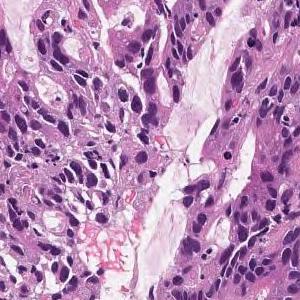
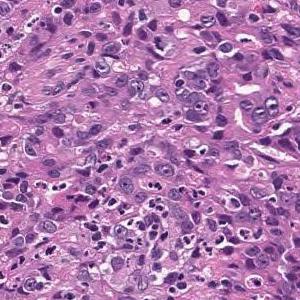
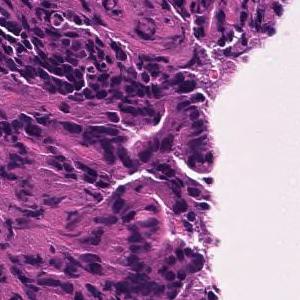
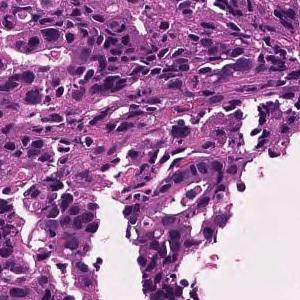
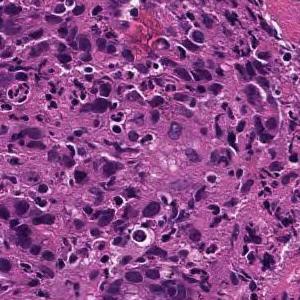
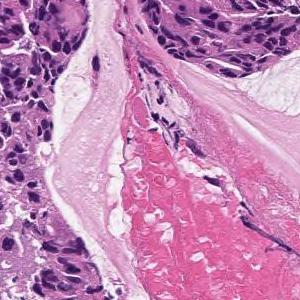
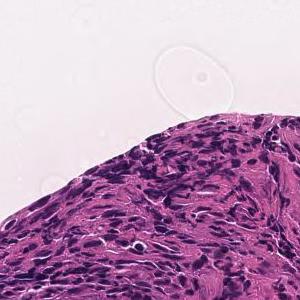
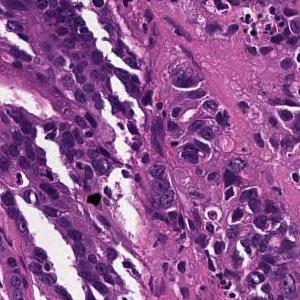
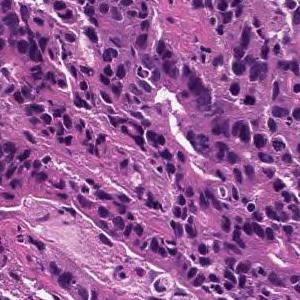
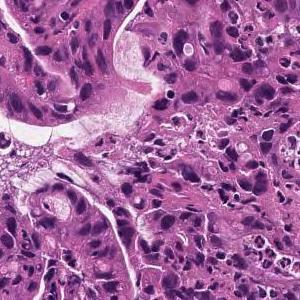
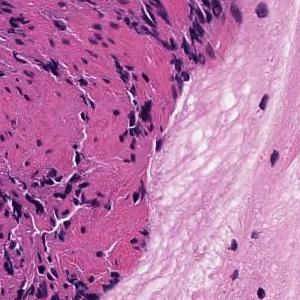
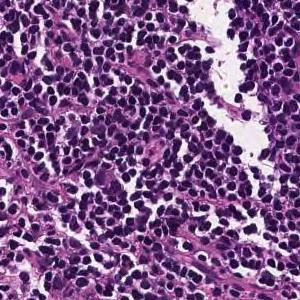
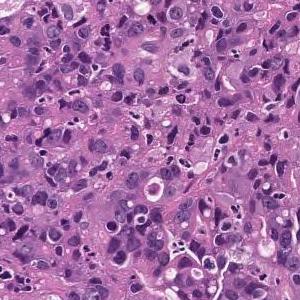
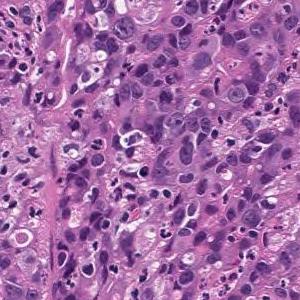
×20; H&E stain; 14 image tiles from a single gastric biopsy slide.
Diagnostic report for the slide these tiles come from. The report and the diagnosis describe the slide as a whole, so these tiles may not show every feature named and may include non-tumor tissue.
In the superficial epithelium, tumor tissue that invades by forming medium-sized to small, irregular ducts is observed. moderately differentiated tubular adenocarcinoma.
